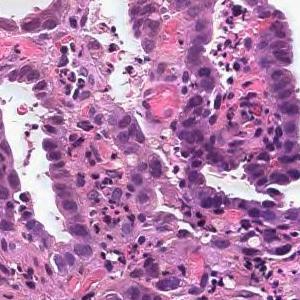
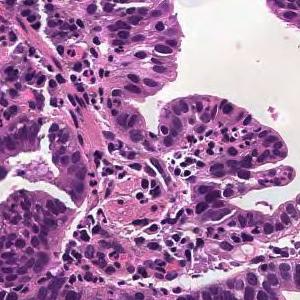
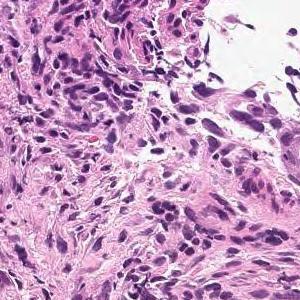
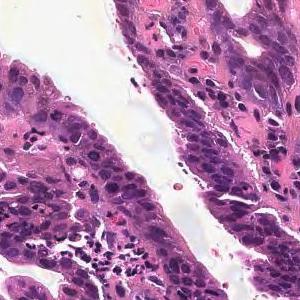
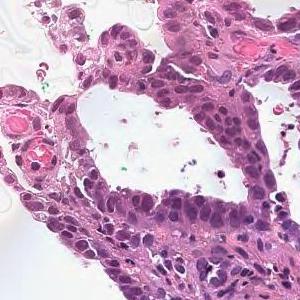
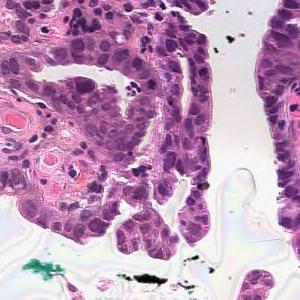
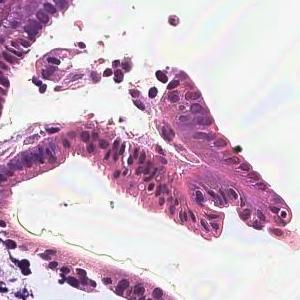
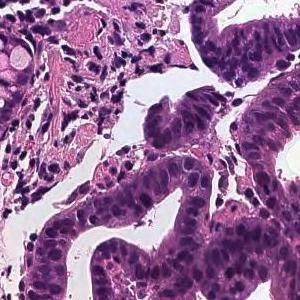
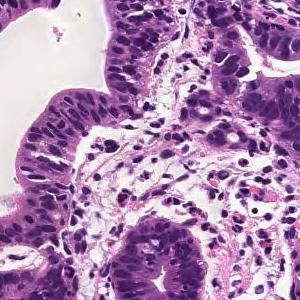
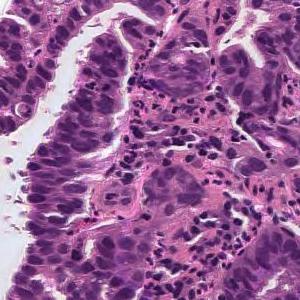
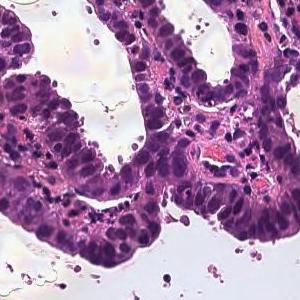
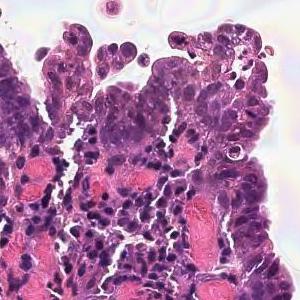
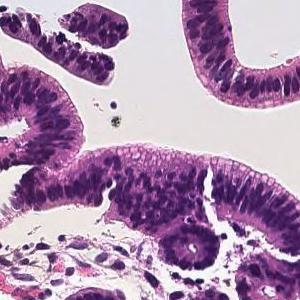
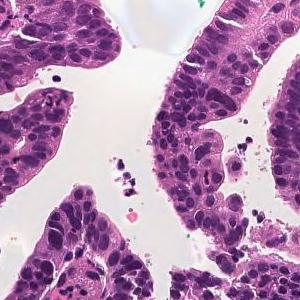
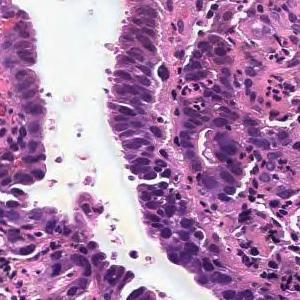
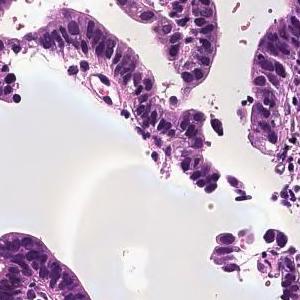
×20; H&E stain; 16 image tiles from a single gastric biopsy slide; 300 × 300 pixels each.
The pathologist's report on the biopsy slide these tiles were taken from. The report describes the whole slide, diagnosis included: not every finding it names need appear in these tiles, which may also show non-tumor tissue.
From the superficial epithelium to the muscularis mucosae, tumor tissue consisting of medium-sized and irregular glandular ducts infiltrating is observed. Well differentiated tubular adenocarcinoma
